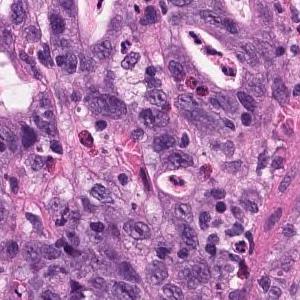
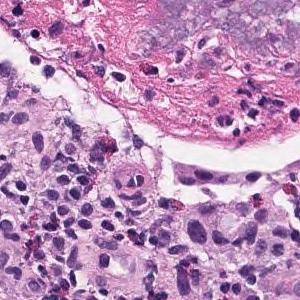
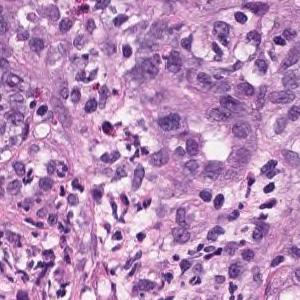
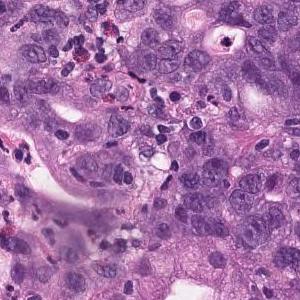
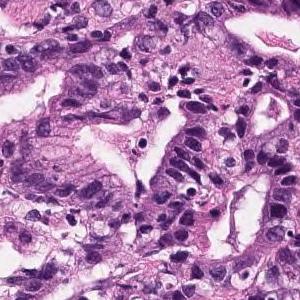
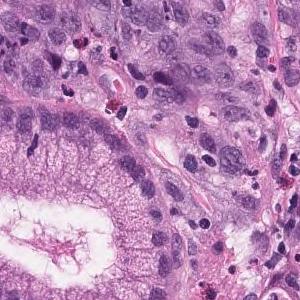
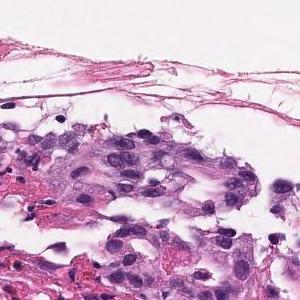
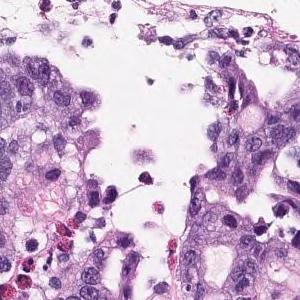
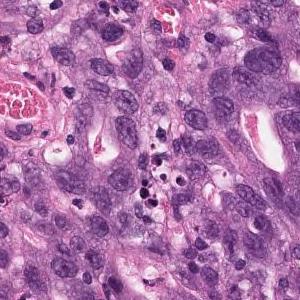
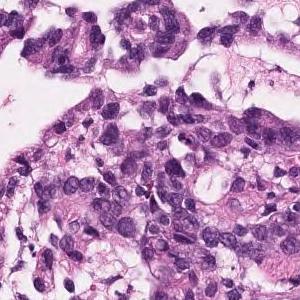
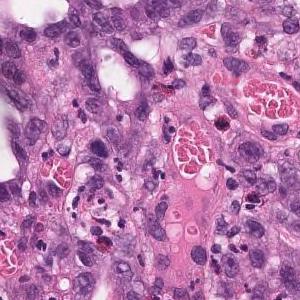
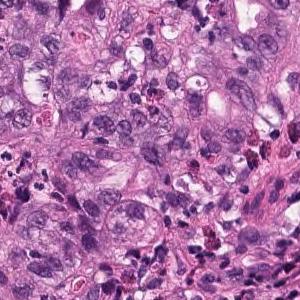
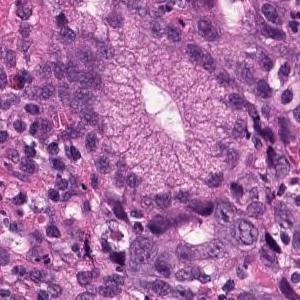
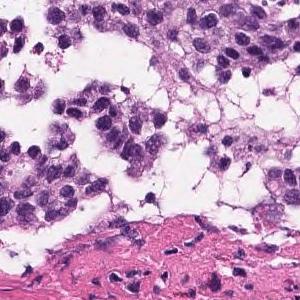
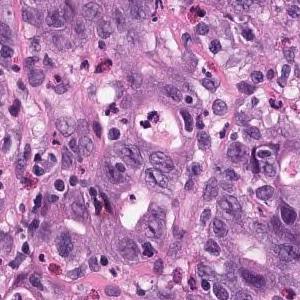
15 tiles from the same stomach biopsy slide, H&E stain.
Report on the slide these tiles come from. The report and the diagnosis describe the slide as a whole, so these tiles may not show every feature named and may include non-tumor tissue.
Atypical ducts proliferating with obscure duct construction and solid sequences is observed. Moderately to poorly differentiated adenocarcinoma.
